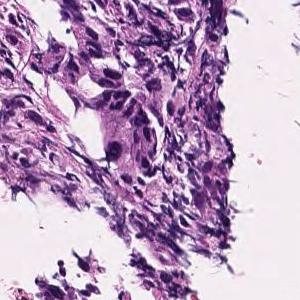
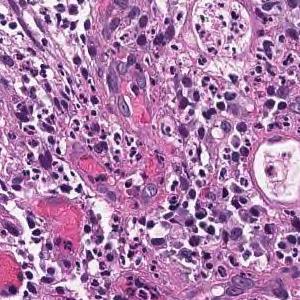
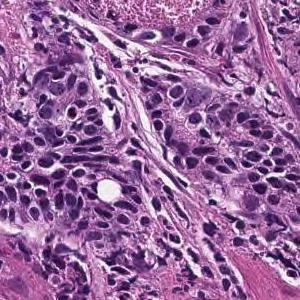
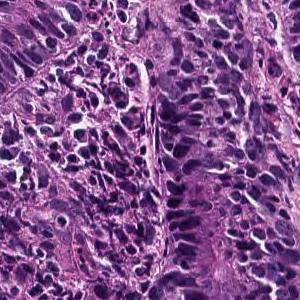
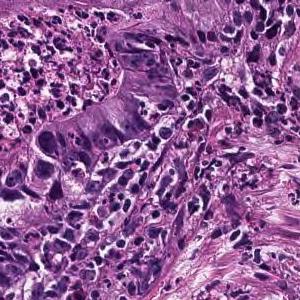
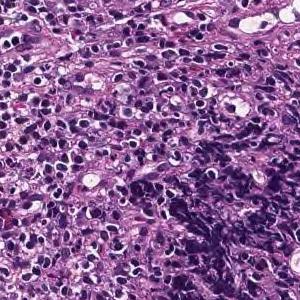
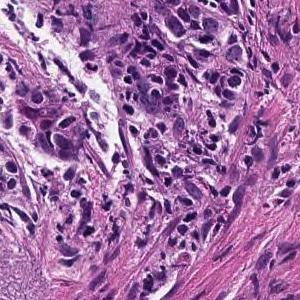
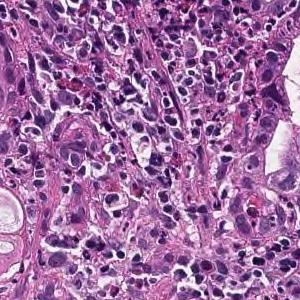
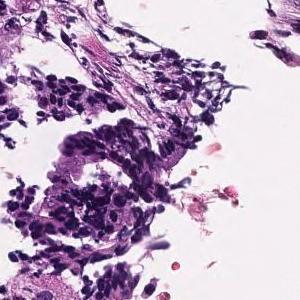
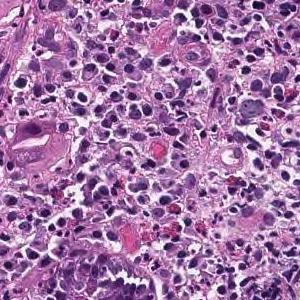
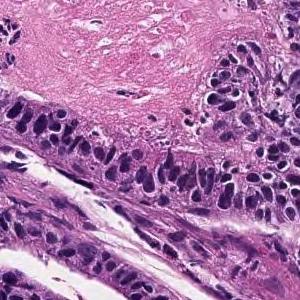
11 image tiles from a single gastric biopsy slide; each 300 × 300 pixels; hematoxylin and eosin stain.
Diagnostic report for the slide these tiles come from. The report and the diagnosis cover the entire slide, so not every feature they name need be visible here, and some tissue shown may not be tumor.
On the superficial epithelium, tumor tissue consisting of large, irregular glandular ducts partially fused and infiltrated is observed. Well to moderately differentiated tubular adenocarcinoma (well differentiated tubular adenocarcinoma, moderately differentiated tubular adenocarcinoma)
Tumor subtype: well to moderately differentiated tubular adenocarcinoma.
